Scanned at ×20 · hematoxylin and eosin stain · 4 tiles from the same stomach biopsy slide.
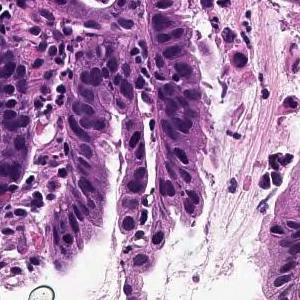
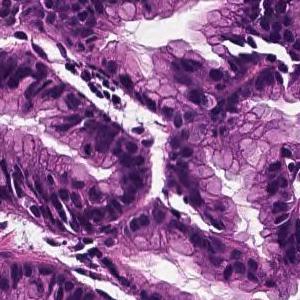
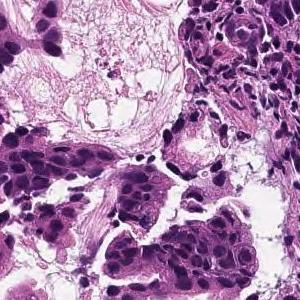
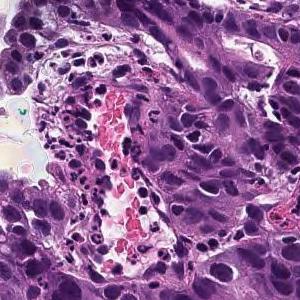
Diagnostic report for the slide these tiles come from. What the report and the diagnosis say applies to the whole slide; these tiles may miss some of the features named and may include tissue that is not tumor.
Tumor cells are large, highly columnar, large club-shaped nuclei, and are associated with chromatin aggregation. Papillary adenocarcinoma.
